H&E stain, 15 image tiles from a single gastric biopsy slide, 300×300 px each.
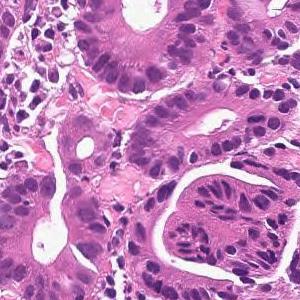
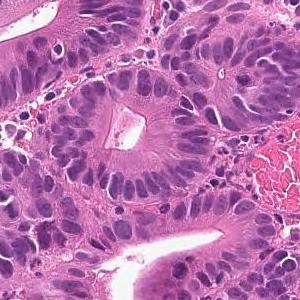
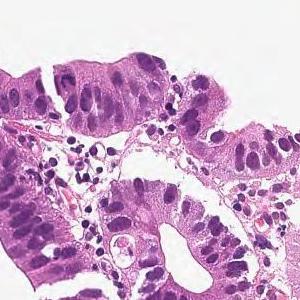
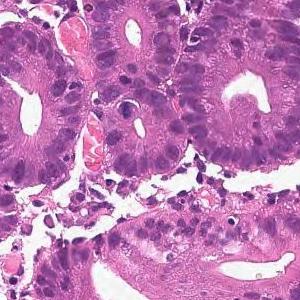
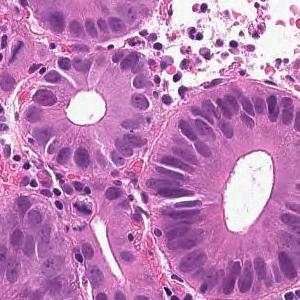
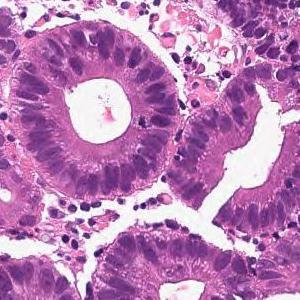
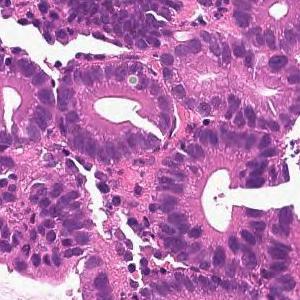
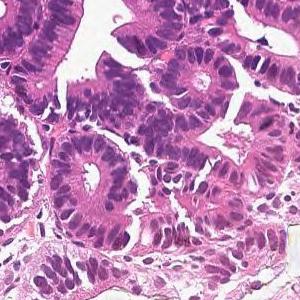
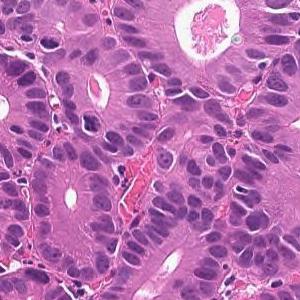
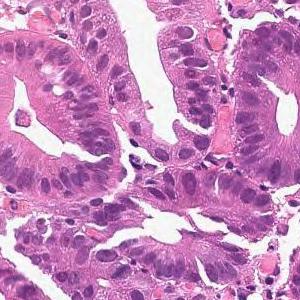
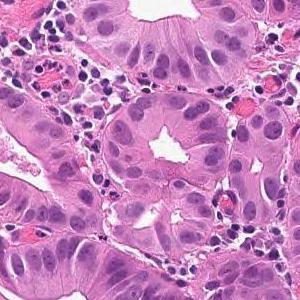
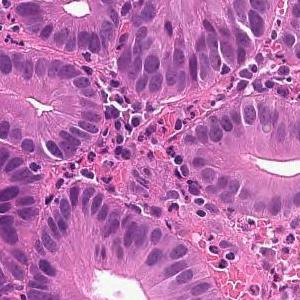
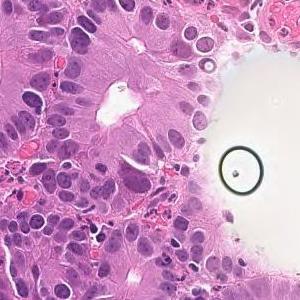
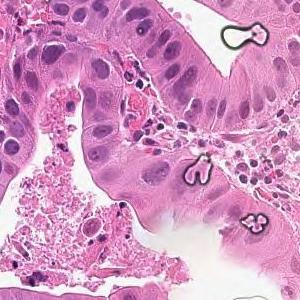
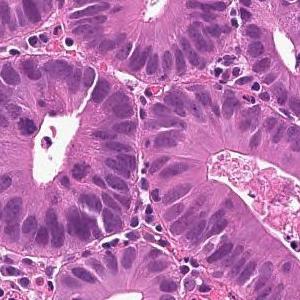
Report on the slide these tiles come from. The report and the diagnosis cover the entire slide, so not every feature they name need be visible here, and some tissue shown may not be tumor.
From the superficial epithelium to the muscularis mucosae, tumor tissue consisting of medium-sized and irregular glandular ducts infiltrating is observed. Well differentiated tubular adenocarcinoma
